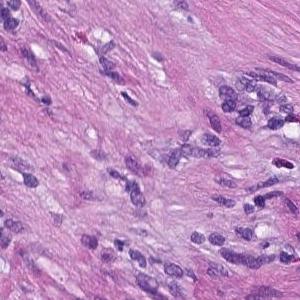
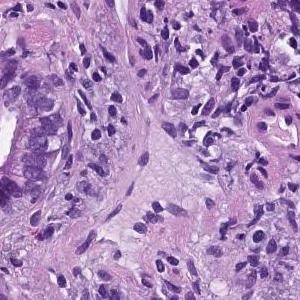
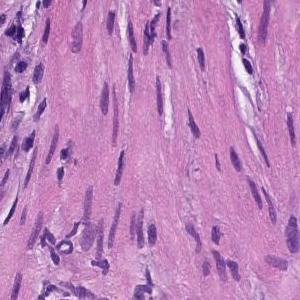
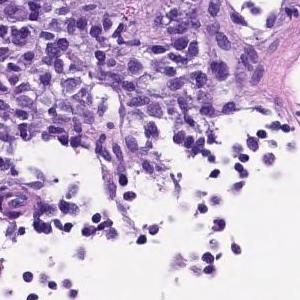
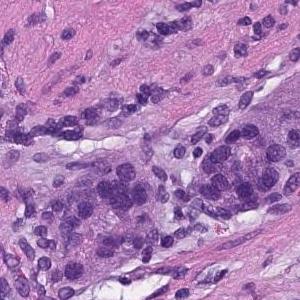
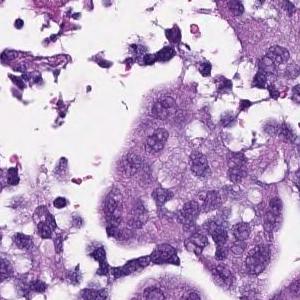
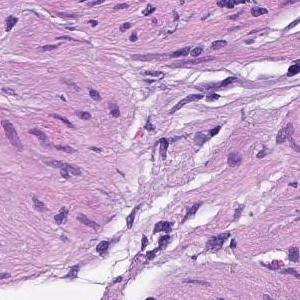
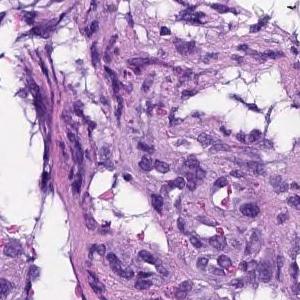
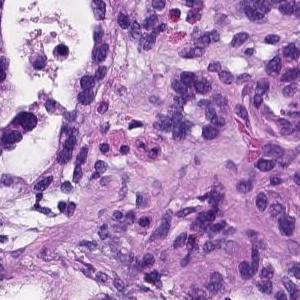
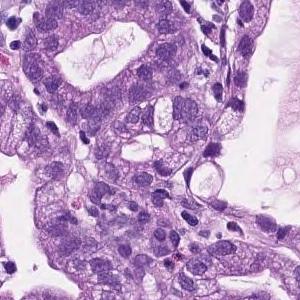
10 image tiles from a single gastric biopsy slide, 300 × 300 pixels each, H&E, ×20.
The pathologist's report on the biopsy slide these tiles were taken from. The report describes the whole slide, diagnosis included: not every finding it names need appear in these tiles, which may also show non-tumor tissue.
From the superficial epithelium to the muscularis mucosae, tumor tissue consisting of medium-sized and irregular glandular ducts infiltrating is observed. Well differentiated tubular adenocarcinoma
